×20; 5 tiles from the same stomach biopsy slide; 300×300 px each.
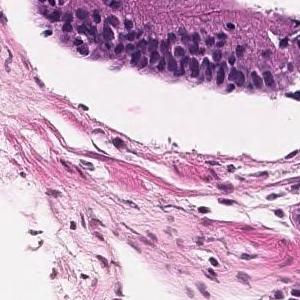
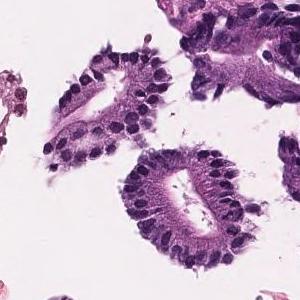
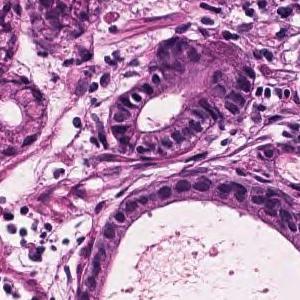
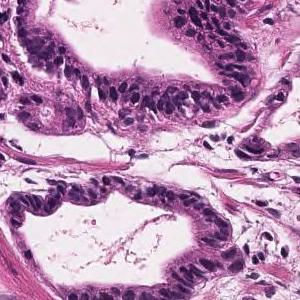
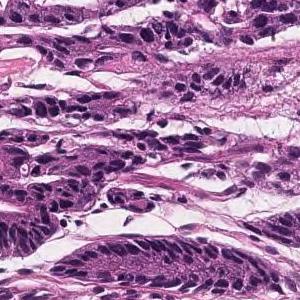
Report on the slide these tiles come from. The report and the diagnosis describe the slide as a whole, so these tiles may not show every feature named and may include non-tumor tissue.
Tumor tissue with atypical epithelium showing irregular ductal or sieving ductal structure and proliferating is observed. Well to moderately differentiated tubular adenocarcinoma (well differentiated tubular adenocarcinoma-moderately differentiated tubular adenocarcinoma)
Subtype: Well to moderately differentiated tubular adenocarcinoma.
